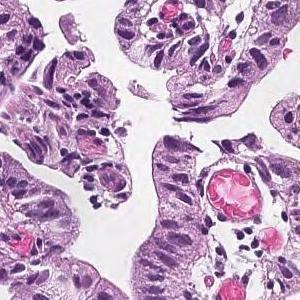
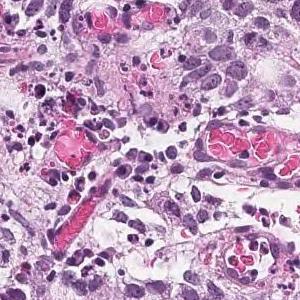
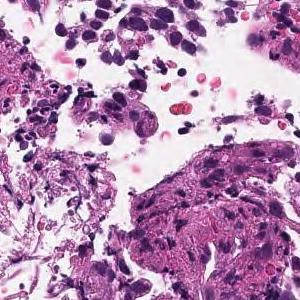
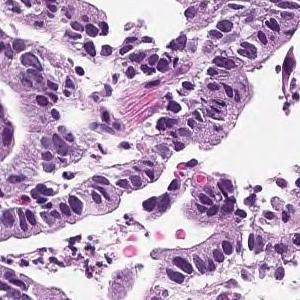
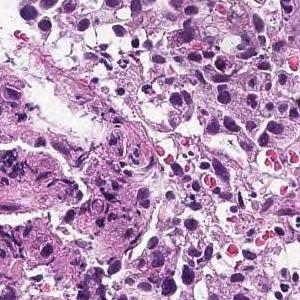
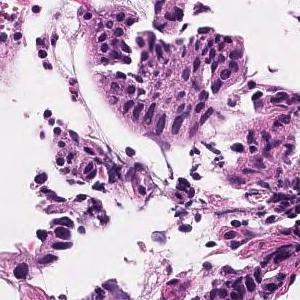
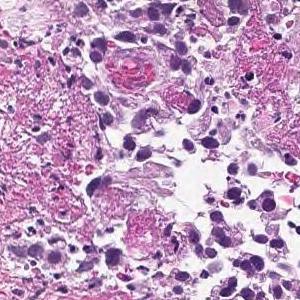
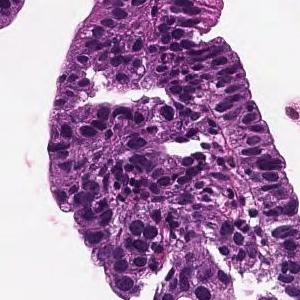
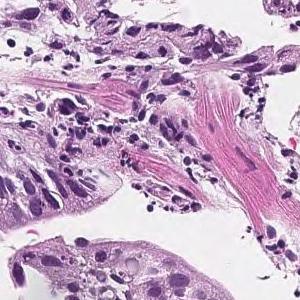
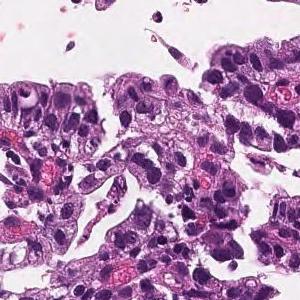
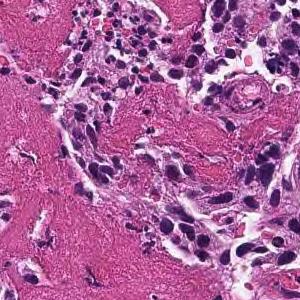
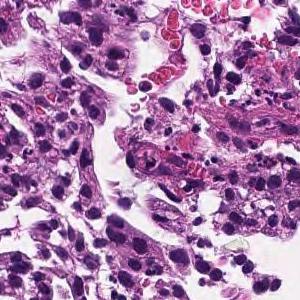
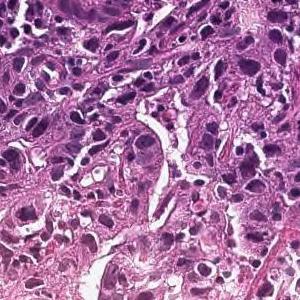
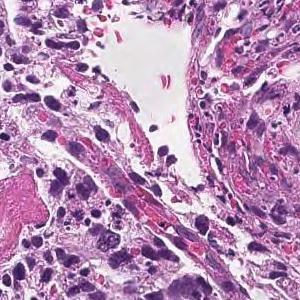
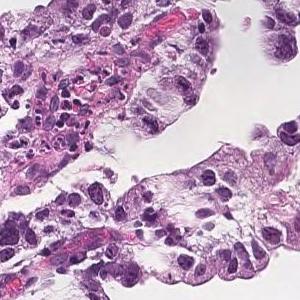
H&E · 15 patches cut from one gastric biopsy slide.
Report on the slide these tiles come from. The report and the diagnosis describe the slide as a whole, so these tiles may not show every feature named and may include non-tumor tissue.
Tumor tissue consisting of medium-sized, cord-like or irregular glandular infiltration is observed in the superficial epithelium. Poorly differentiated adenocarcinoma, non-solid type or moderately differentiated tubular adenocarcinoma
Histological subtype: Moderately to poorly differentiated adenocarcinoma.
The non-solid type named here is a Japanese Classification of Gastric Carcinoma category.
